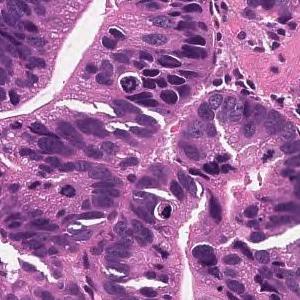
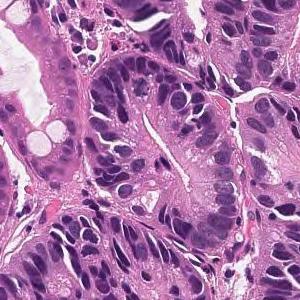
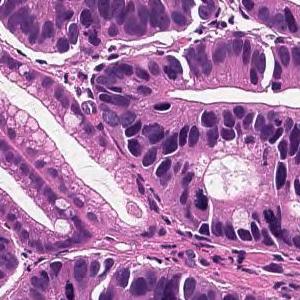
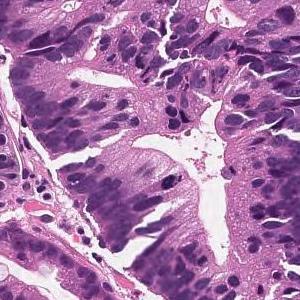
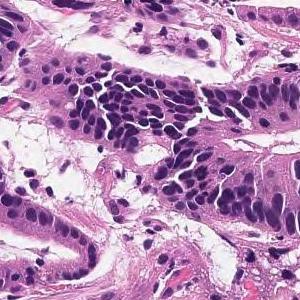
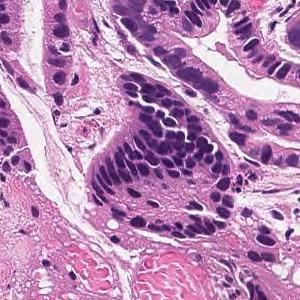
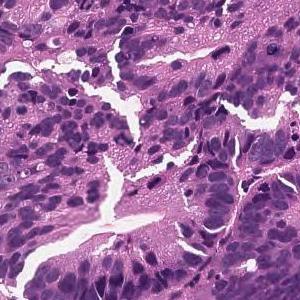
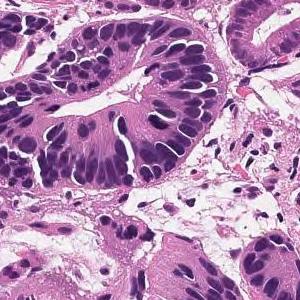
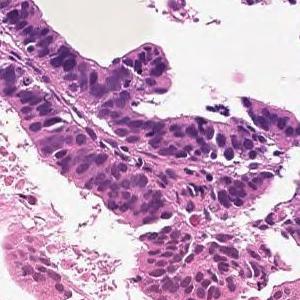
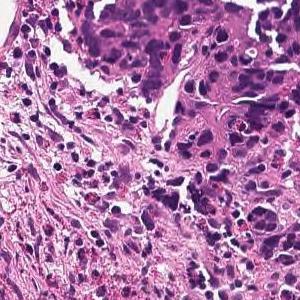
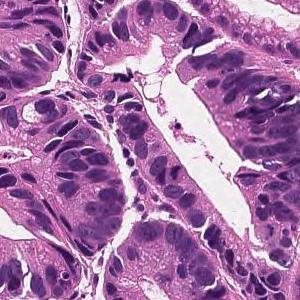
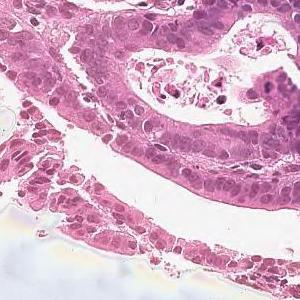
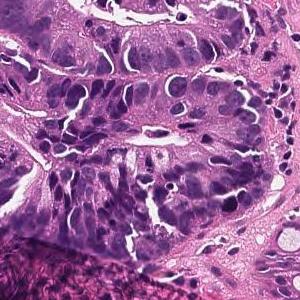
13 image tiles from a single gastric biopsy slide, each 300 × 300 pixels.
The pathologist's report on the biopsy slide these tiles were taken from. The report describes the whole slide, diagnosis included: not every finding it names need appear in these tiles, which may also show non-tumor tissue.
Tumor cells are large, highly columnar, large club-shaped nuclei, and are associated with chromatin aggregation. Papillary adenocarcinoma.
